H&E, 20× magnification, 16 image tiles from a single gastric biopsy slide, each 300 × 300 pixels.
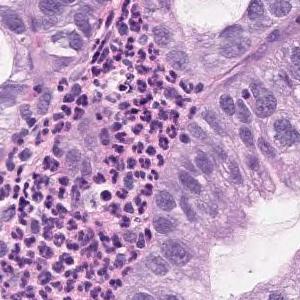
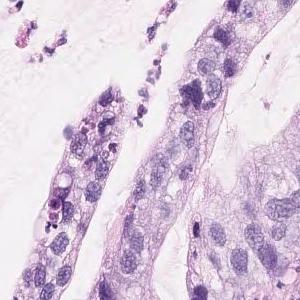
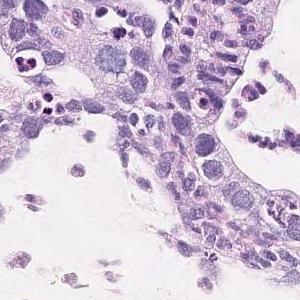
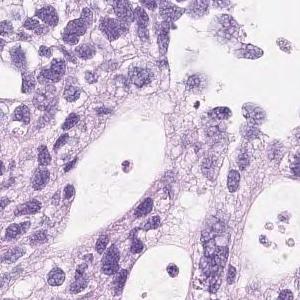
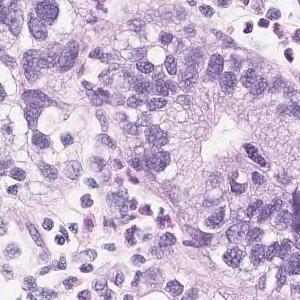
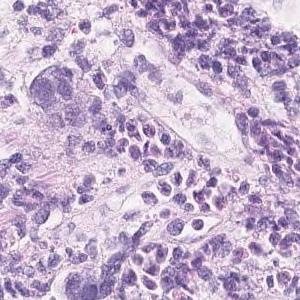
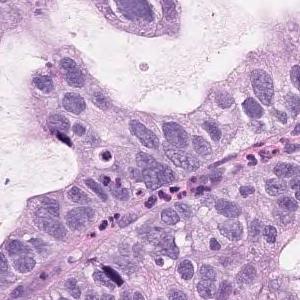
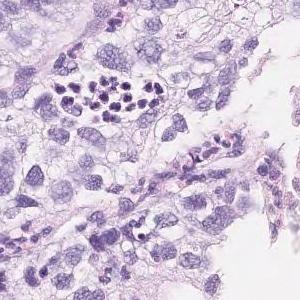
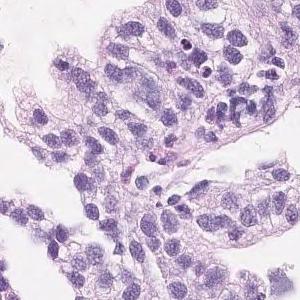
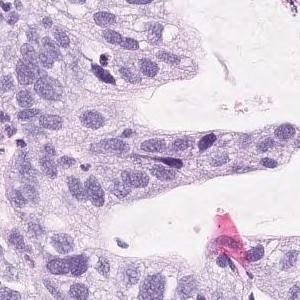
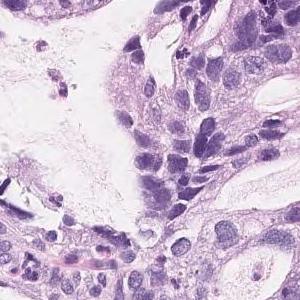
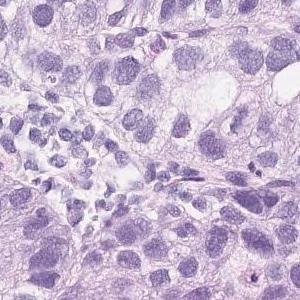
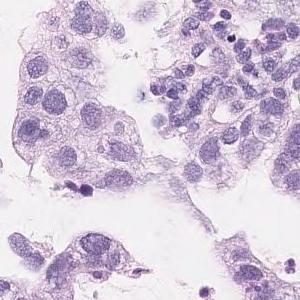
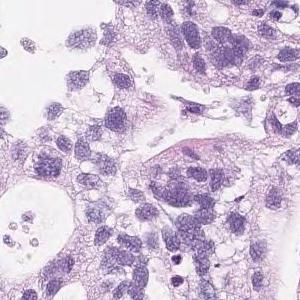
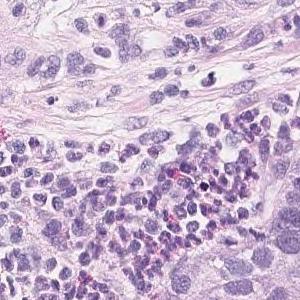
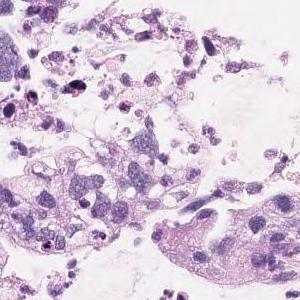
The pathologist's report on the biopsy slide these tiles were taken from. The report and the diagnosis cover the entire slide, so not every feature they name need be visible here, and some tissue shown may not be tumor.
On the superficial epithelium, tumor tissue consisting of large, irregular glandular ducts partially fused and infiltrated is observed. Well to moderately differentiated tubular adenocarcinoma (well differentiated tubular adenocarcinoma, moderately differentiated tubular adenocarcinoma)
Subtype: Well to moderately differentiated tubular adenocarcinoma.
